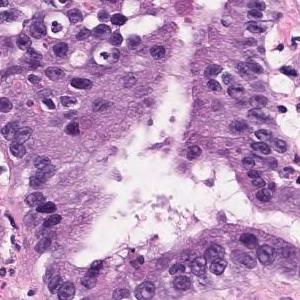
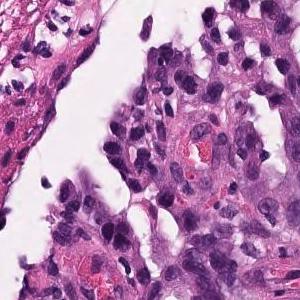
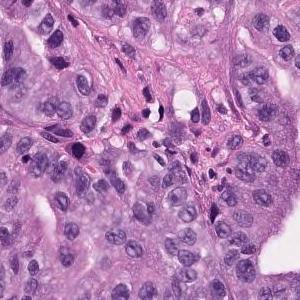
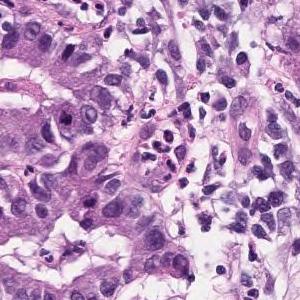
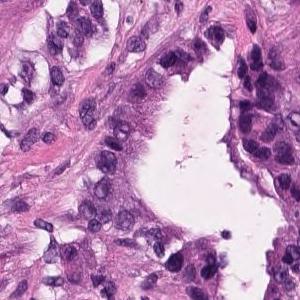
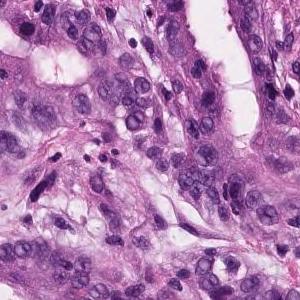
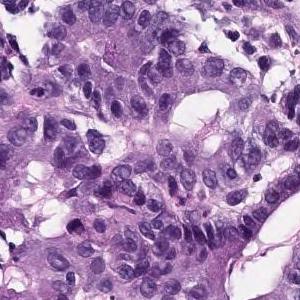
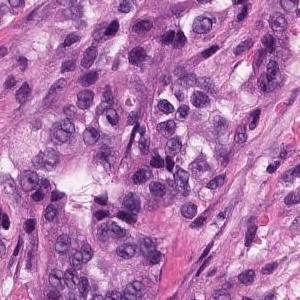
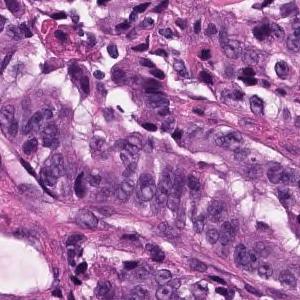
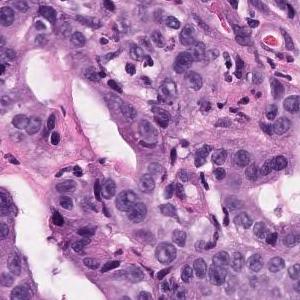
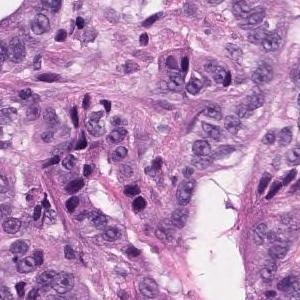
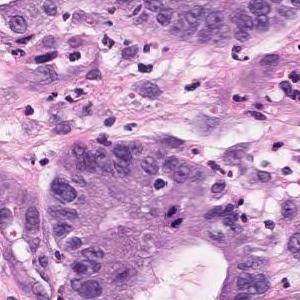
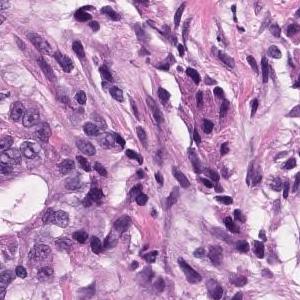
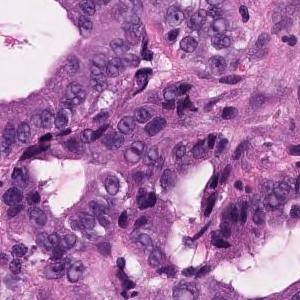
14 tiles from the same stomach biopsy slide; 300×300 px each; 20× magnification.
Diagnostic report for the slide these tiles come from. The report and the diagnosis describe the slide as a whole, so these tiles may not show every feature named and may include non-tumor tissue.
In the superficial epithelium, tumor tissue that invades by forming medium-sized to small, irregular ducts is observed. Moderately differentiated adenocarcinoma.
Histologic type: Moderately differentiated tubular adenocarcinoma.
